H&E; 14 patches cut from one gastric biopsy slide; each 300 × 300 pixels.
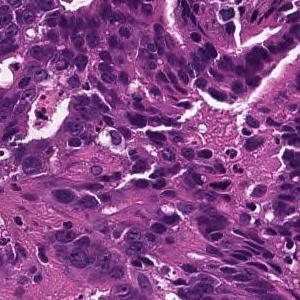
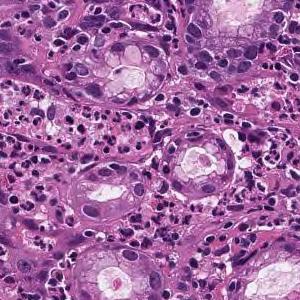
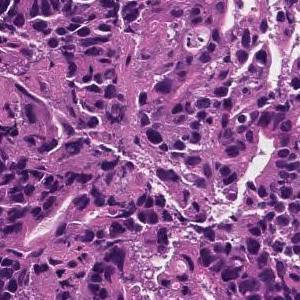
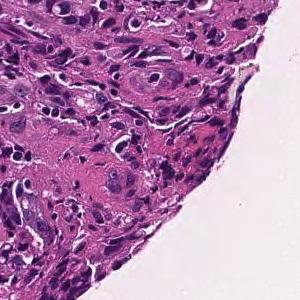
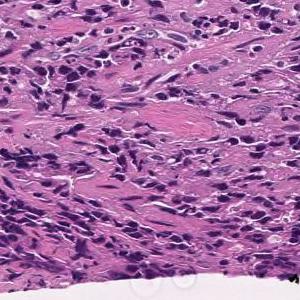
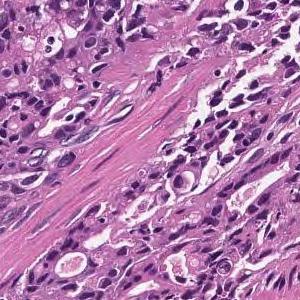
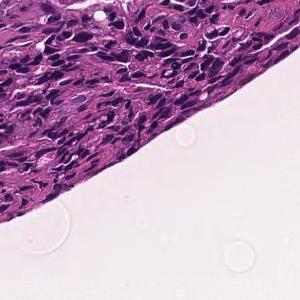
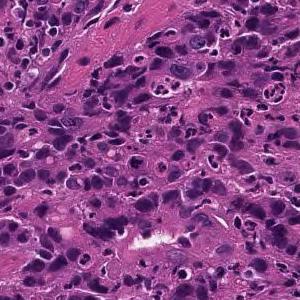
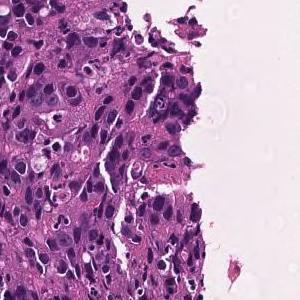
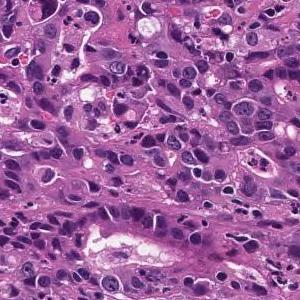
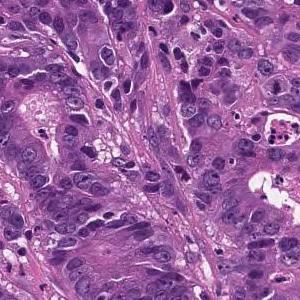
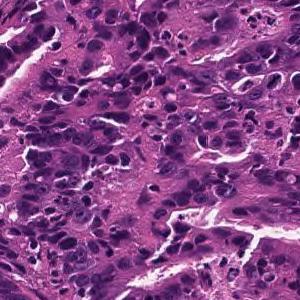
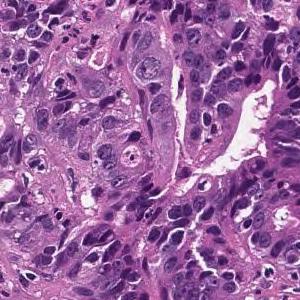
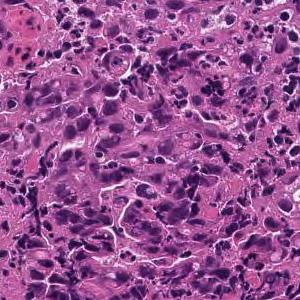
Pathology report for the slide these tiles were cut from. What the report and the diagnosis say applies to the whole slide; these tiles may miss some of the features named and may include tissue that is not tumor.
In the superficial epithelium, tumor tissue that invades by forming medium-sized to small, irregular ducts is observed. moderately differentiated tubular adenocarcinoma.
